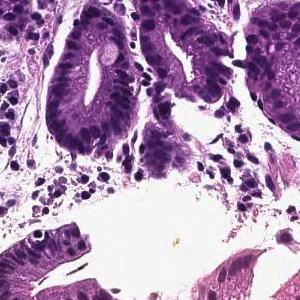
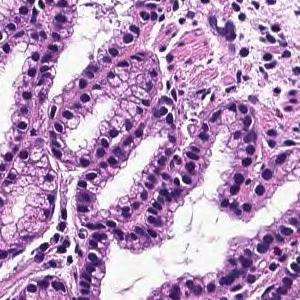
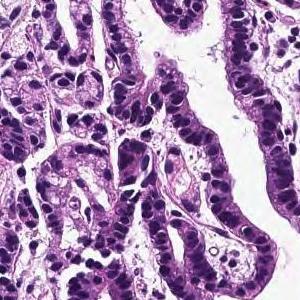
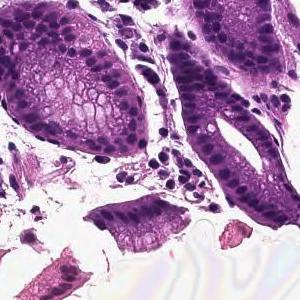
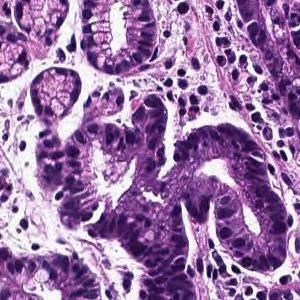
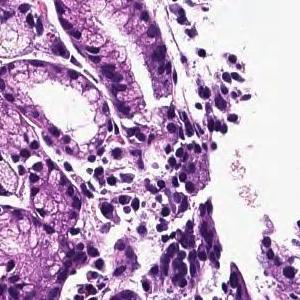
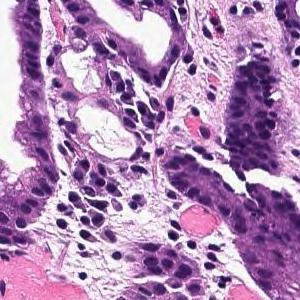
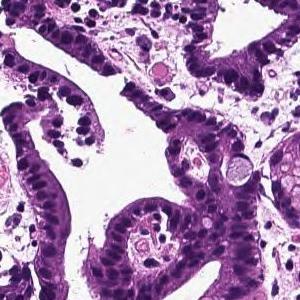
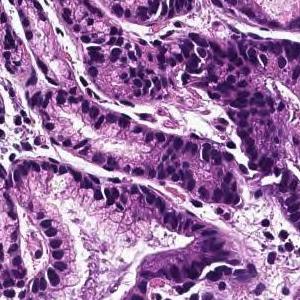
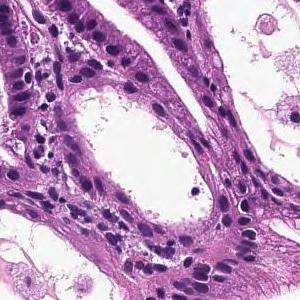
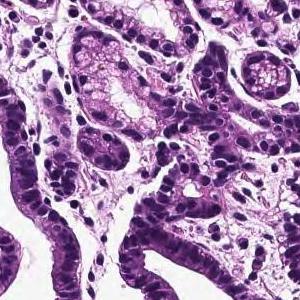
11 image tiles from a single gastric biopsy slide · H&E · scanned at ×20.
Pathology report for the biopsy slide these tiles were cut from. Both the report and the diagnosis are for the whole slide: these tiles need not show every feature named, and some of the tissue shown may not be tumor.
In the superficial epithelium, tumor tissue that invades by forming medium-sized to small, irregular ducts is observed. moderately differentiated tubular adenocarcinoma.
